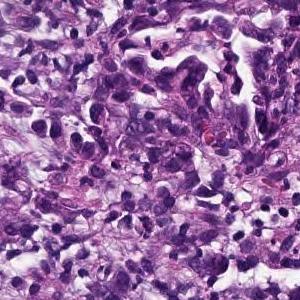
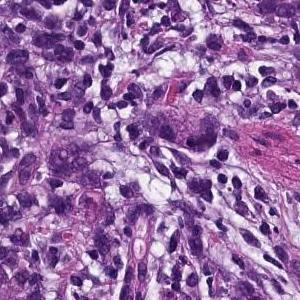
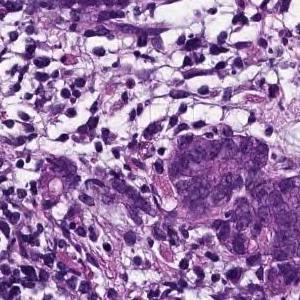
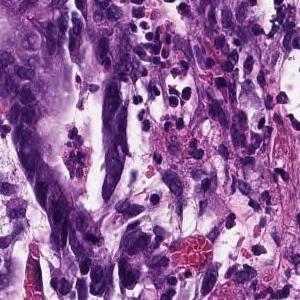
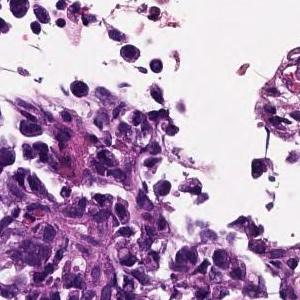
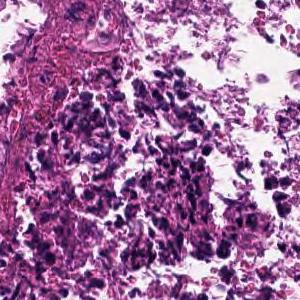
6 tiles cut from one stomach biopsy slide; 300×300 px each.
Pathology report for the slide these tiles were cut from. What the report and the diagnosis say applies to the whole slide; these tiles may miss some of the features named and may include tissue that is not tumor.
Tumor tissue consisting of medium-sized, cord-like or irregular glandular infiltration is observed in the superficial epithelium. Poorly differentiated adenocarcinoma, non-solid type or moderately differentiated tubular adenocarcinoma
Tumor subtype: moderately to poorly differentiated adenocarcinoma.
The term "non-solid type" comes from the Japanese Classification of Gastric Carcinoma.
